8 tiles cut from one stomach biopsy slide.
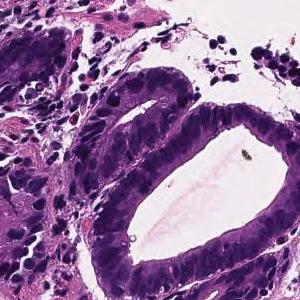
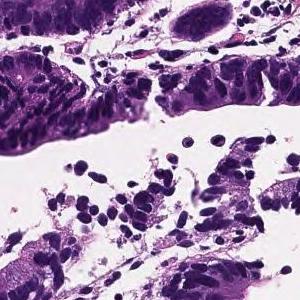
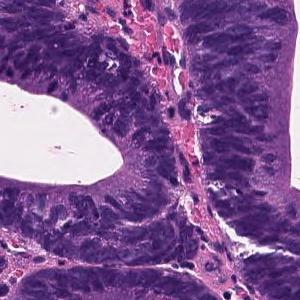
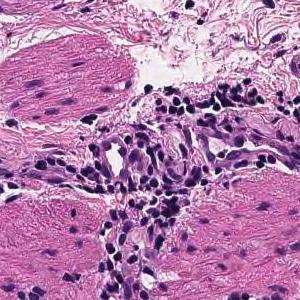
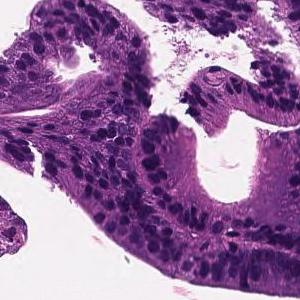
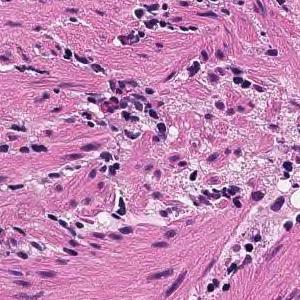
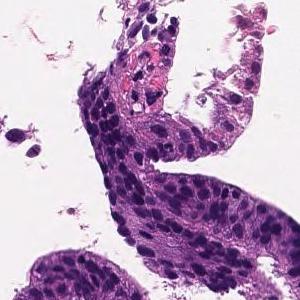
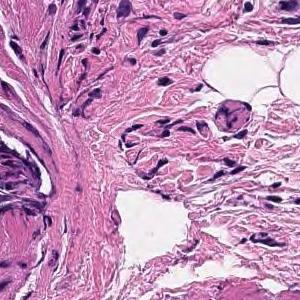
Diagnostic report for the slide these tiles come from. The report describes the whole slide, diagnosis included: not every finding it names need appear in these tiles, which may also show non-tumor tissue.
Tumor tissue consisting of large papillary structures is found in the superficial epithelium. Papillary adenocarcinoma.
